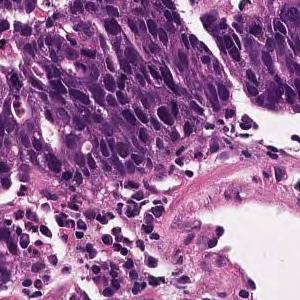
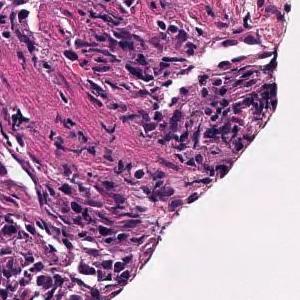
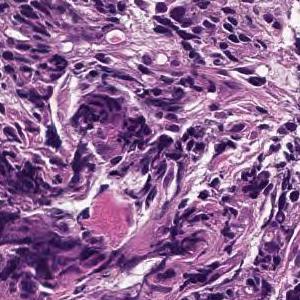
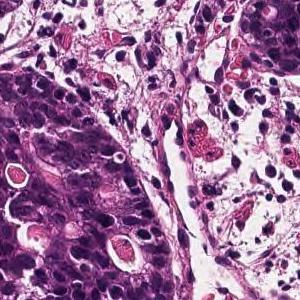
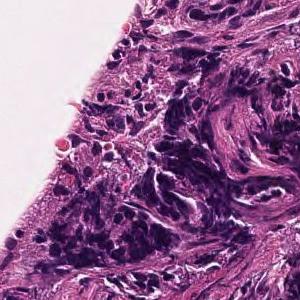
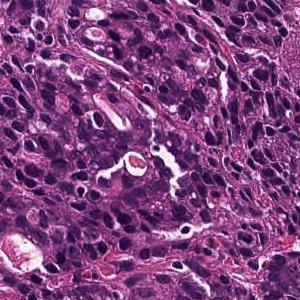
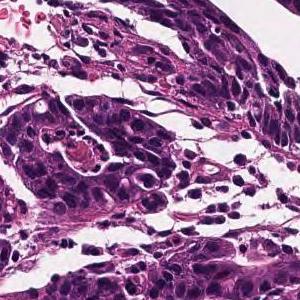
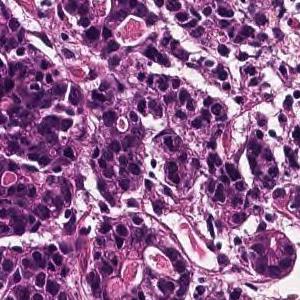
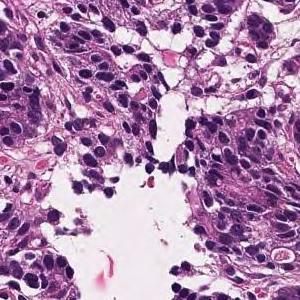
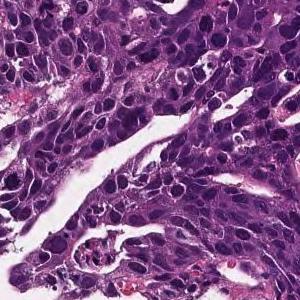
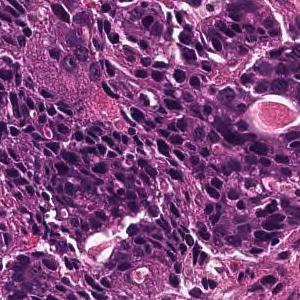
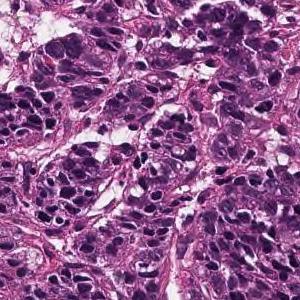
12 tiles cut from one stomach biopsy slide, H&E.
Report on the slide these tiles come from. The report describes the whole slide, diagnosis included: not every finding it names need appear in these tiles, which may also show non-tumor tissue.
Medium to small, irregular glandular ducts are formed in the superficial epithelium, and in some cases, the glandular ducts are fused to show solid alveolar lesions and infiltrating tumor tissue is observed. Moderately to poorly differentiated adenocarcinoma.
